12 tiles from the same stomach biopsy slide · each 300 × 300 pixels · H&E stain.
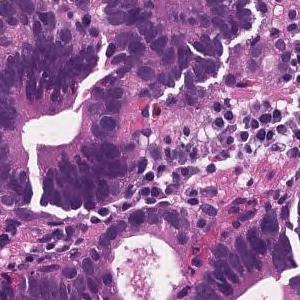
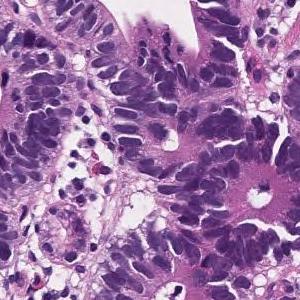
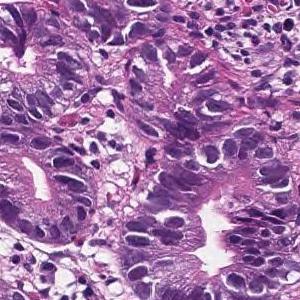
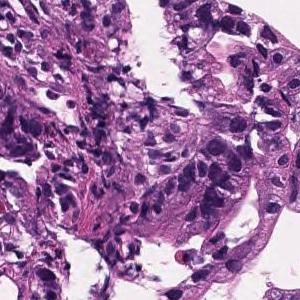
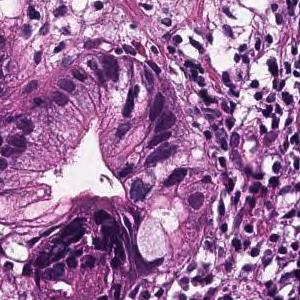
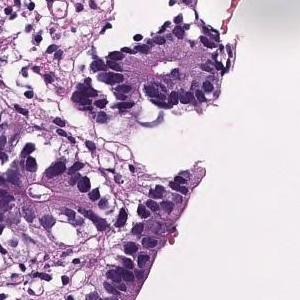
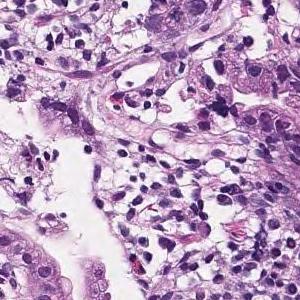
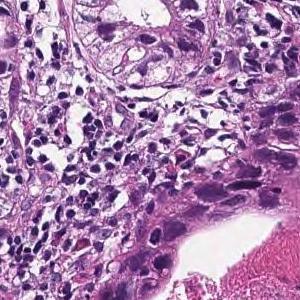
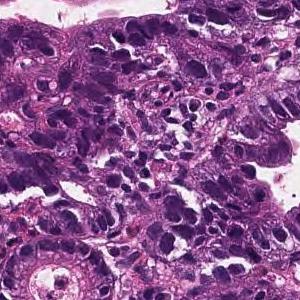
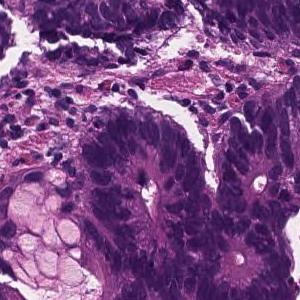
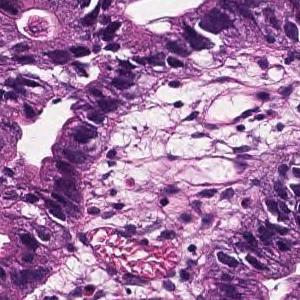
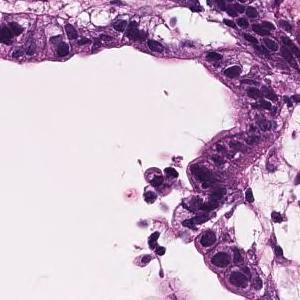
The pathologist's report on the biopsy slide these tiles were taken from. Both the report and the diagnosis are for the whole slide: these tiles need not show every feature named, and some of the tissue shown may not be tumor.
On the superficial epithelium, tumor tissue consisting of large, irregular glandular ducts partially fused and infiltrated is observed. Well to moderately differentiated tubular adenocarcinoma (well differentiated tubular adenocarcinoma, moderately differentiated tubular adenocarcinoma)
Tumor subtype: well to moderately differentiated tubular adenocarcinoma.
